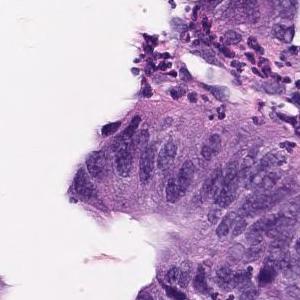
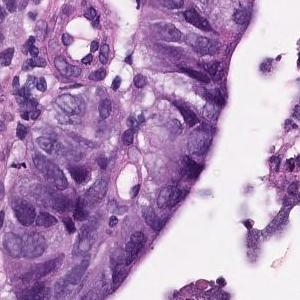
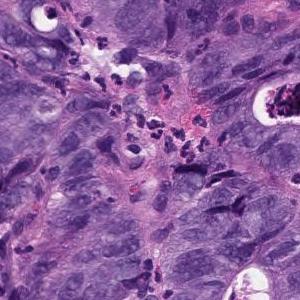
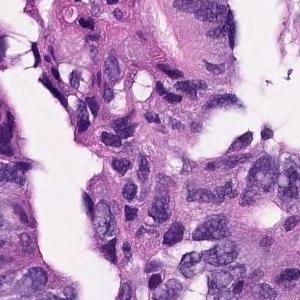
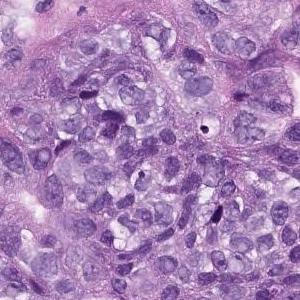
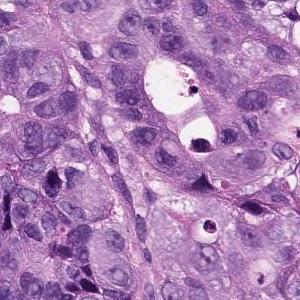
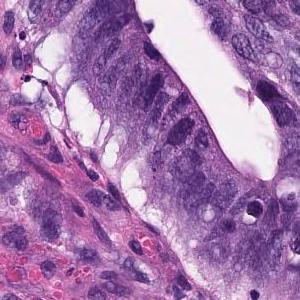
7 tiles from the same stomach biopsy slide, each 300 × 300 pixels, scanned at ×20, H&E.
Pathology report for the slide these tiles were cut from. What the report and the diagnosis say applies to the whole slide; these tiles may miss some of the features named and may include tissue that is not tumor.
In the superficial epithelium, tumor tissue that invades by forming medium-sized to small, irregular ducts is observed. Moderately differentiated adenocarcinoma.
Subtype: Moderately differentiated tubular adenocarcinoma.
